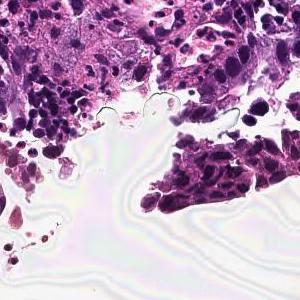
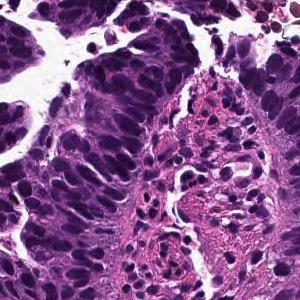
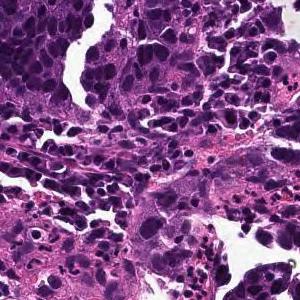
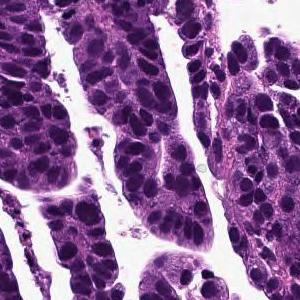
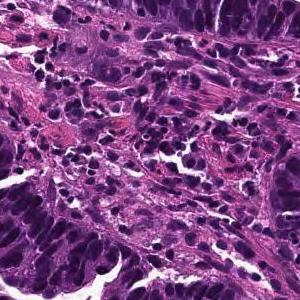
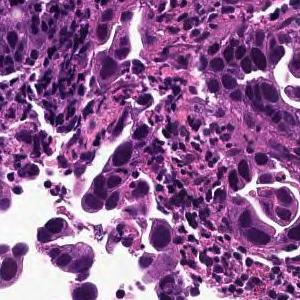
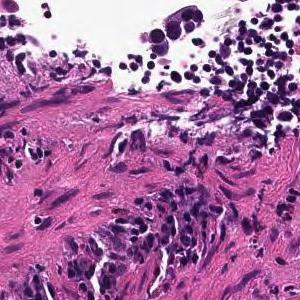
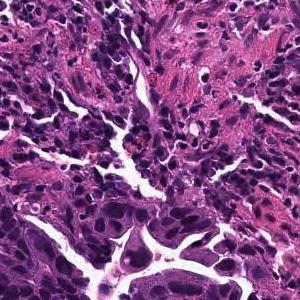
×20 · hematoxylin and eosin stain · 8 tiles from the same stomach biopsy slide.
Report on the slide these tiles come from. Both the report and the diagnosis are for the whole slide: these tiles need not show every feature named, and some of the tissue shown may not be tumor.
Tumor cells are large, highly columnar, large club-shaped nuclei, and are associated with chromatin aggregation. Papillary adenocarcinoma.
